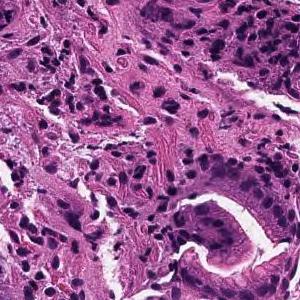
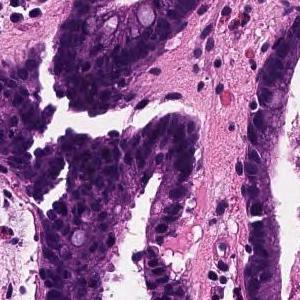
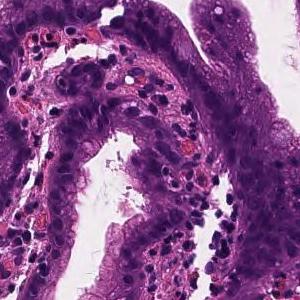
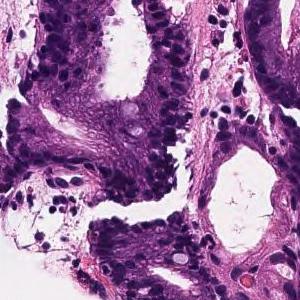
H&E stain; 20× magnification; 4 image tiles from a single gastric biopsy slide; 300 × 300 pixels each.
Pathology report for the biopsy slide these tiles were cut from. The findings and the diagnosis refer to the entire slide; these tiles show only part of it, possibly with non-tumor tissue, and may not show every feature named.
From the superficial epithelium to the muscularis mucosae, tumor tissue consisting of medium-sized and irregular glandular ducts infiltrating is observed. Well differentiated tubular adenocarcinoma
